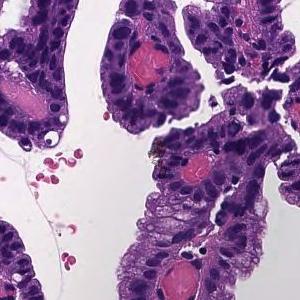
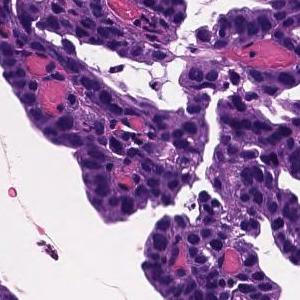
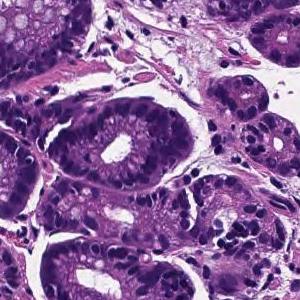
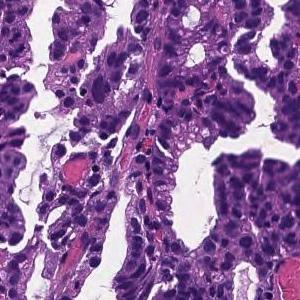
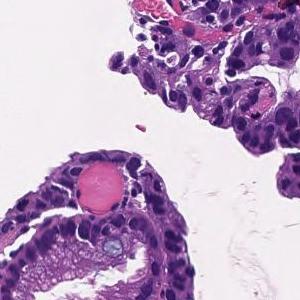
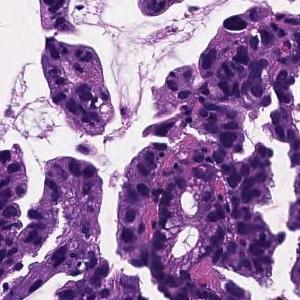
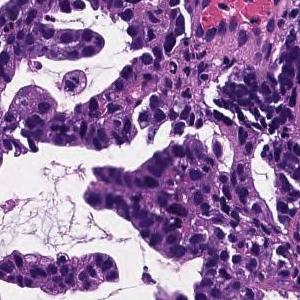
H&E · 20× magnification · 7 tiles from the same stomach biopsy slide.
Pathology report for the biopsy slide these tiles were cut from. The report describes the whole slide, diagnosis included: not every finding it names need appear in these tiles, which may also show non-tumor tissue.
Tumor cells are large, highly columnar, large club-shaped nuclei, and are associated with chromatin aggregation. Papillary adenocarcinoma.
